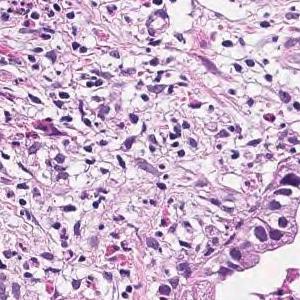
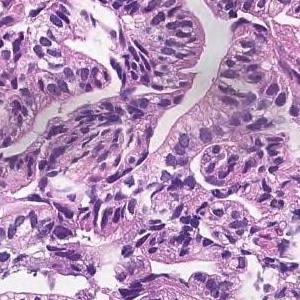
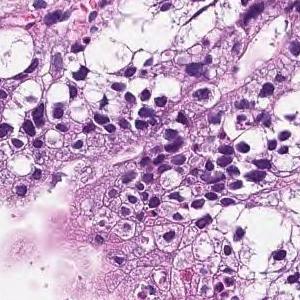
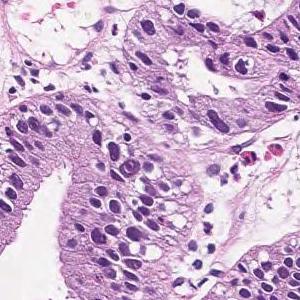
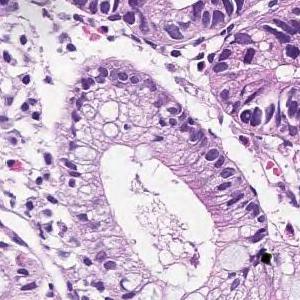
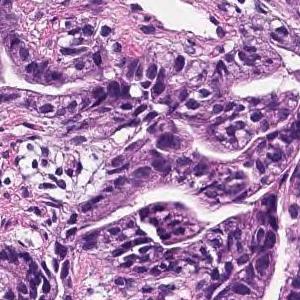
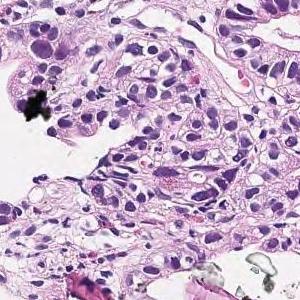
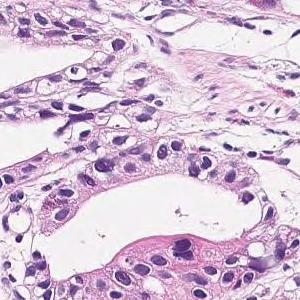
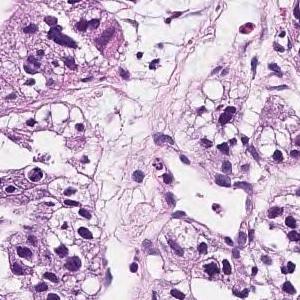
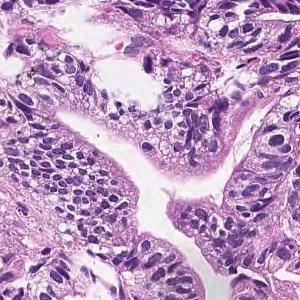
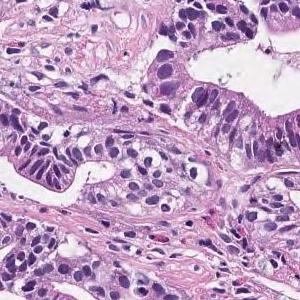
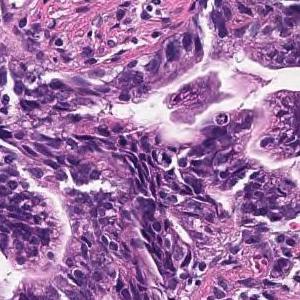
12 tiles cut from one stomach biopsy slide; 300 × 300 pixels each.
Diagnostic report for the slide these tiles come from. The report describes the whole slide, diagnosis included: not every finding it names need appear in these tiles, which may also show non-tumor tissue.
In the superficial epithelium, tumor tissue that invades by forming medium-sized to small, irregular ducts is observed. Moderately differentiated adenocarcinoma.
Classified as moderately differentiated tubular adenocarcinoma.
